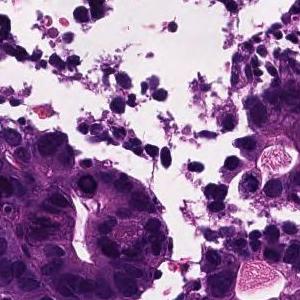
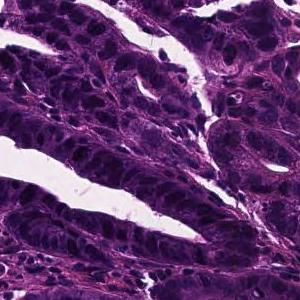
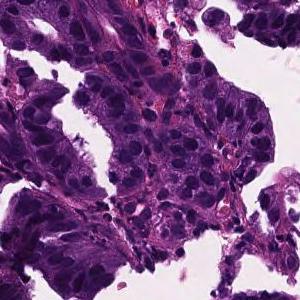
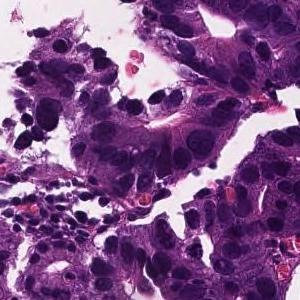
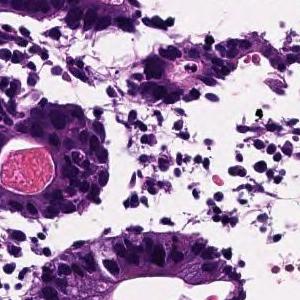
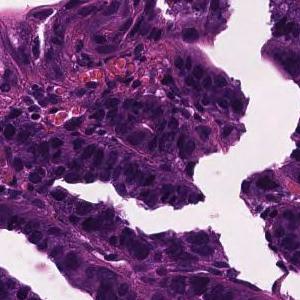
H&E, 6 patches cut from one gastric biopsy slide, each 300 × 300 pixels.
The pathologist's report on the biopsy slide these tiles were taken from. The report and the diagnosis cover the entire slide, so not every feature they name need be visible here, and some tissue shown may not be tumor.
From the superficial epithelium to the muscularis mucosae, tumor tissue infiltrating by forming medium-sized irregular gland ducts is observed. Large tumor cells exhibit large nucleus and hyperchromatism. Well differentiated tubular adenocarcinoma
